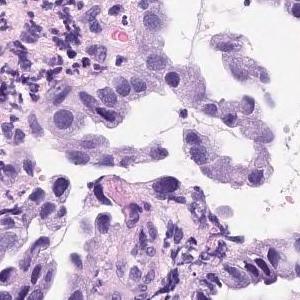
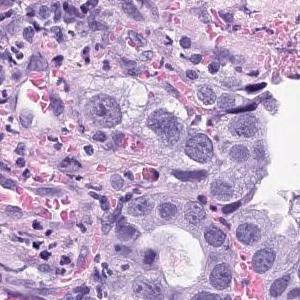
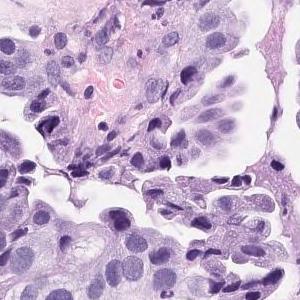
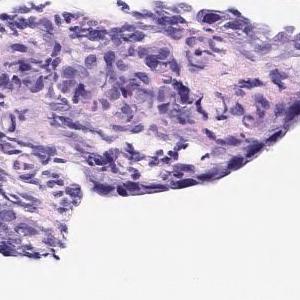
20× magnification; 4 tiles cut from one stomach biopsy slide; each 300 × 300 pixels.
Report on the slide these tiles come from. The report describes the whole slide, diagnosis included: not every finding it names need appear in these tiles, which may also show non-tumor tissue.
Atypical l cells with atypical nuclei forming solid or diffuse vesicles or small irregular atypical ducts and growing in a complex manner. Well differentiated tubular adenocarcinoma
